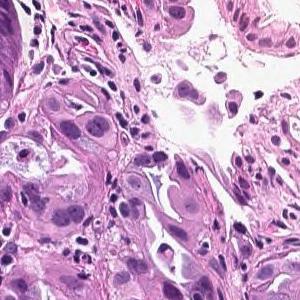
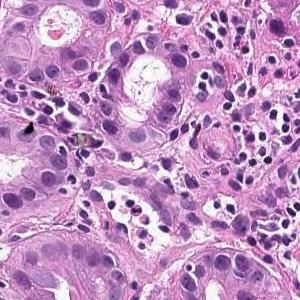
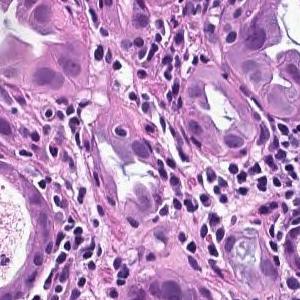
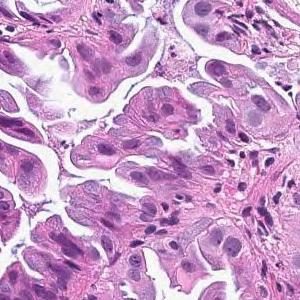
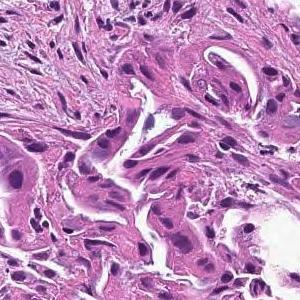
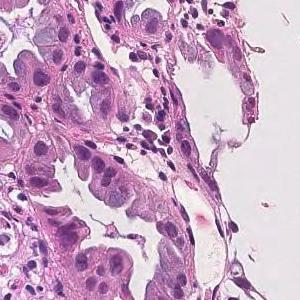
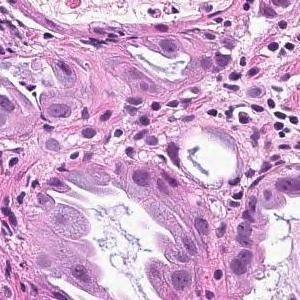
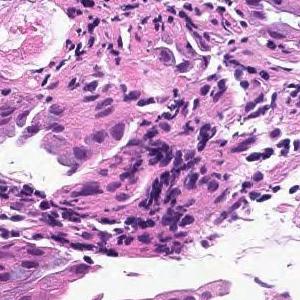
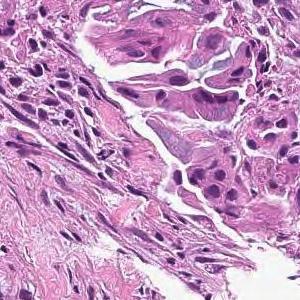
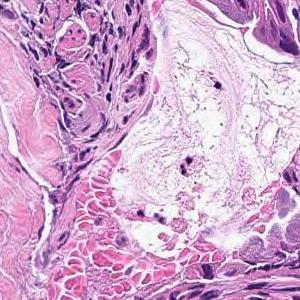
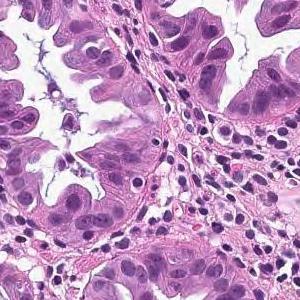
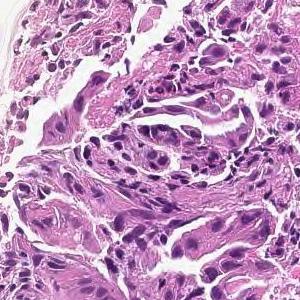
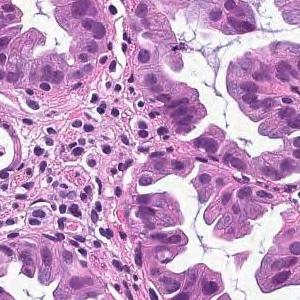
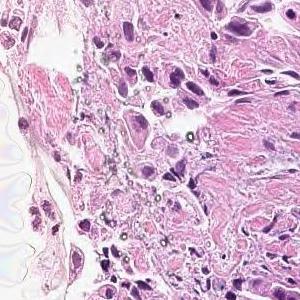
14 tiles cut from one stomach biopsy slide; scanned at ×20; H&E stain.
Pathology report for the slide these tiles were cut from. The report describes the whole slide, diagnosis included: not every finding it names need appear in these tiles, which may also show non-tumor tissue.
From the superficial epithelium to the muscularis mucosae, tumor tissue consisting of medium-sized and irregular glandular ducts infiltrating is observed. Well differentiated tubular adenocarcinoma
